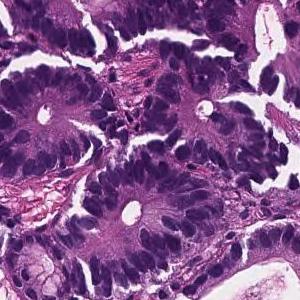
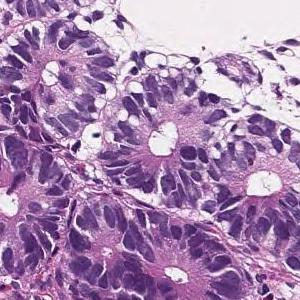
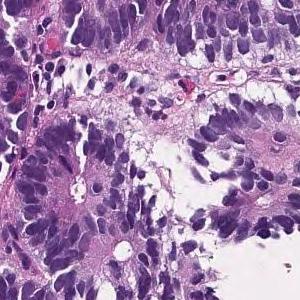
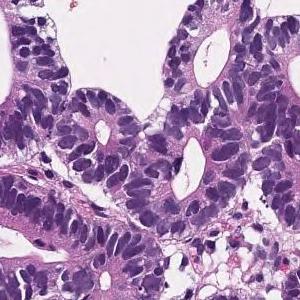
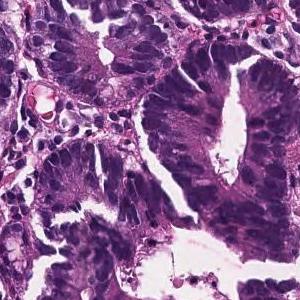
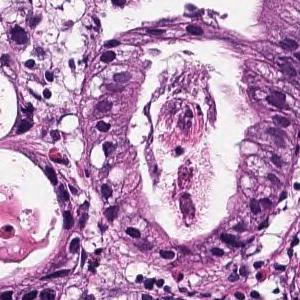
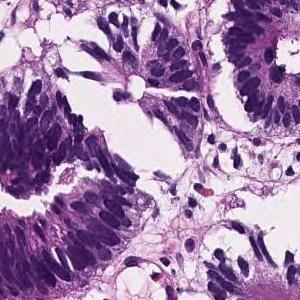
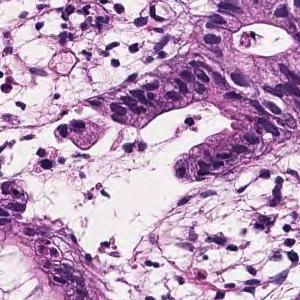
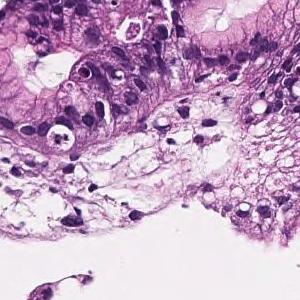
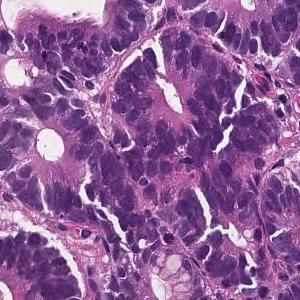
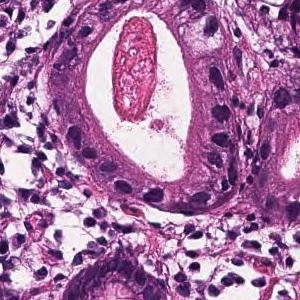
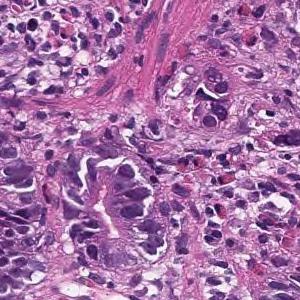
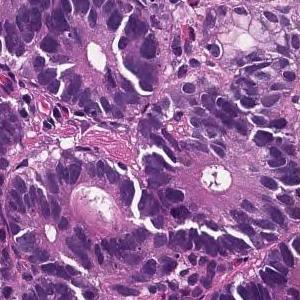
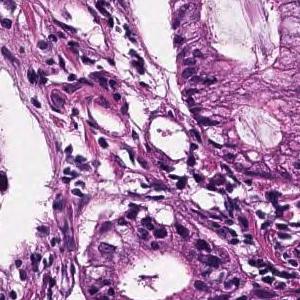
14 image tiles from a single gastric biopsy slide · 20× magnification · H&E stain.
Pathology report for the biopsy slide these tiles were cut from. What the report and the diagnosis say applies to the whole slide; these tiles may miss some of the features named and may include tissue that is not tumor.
On the superficial epithelium, tumor tissue consisting of large, irregular glandular ducts partially fused and infiltrated is observed. Well to moderately differentiated tubular adenocarcinoma (well differentiated tubular adenocarcinoma, moderately differentiated tubular adenocarcinoma)
Subtype: Well to moderately differentiated tubular adenocarcinoma.
